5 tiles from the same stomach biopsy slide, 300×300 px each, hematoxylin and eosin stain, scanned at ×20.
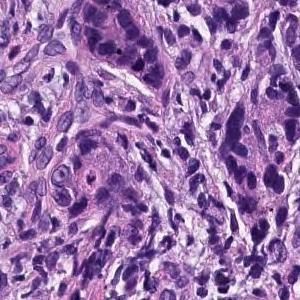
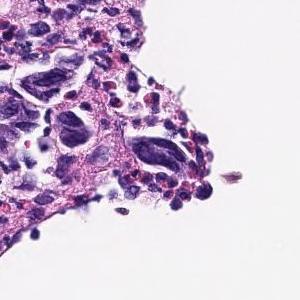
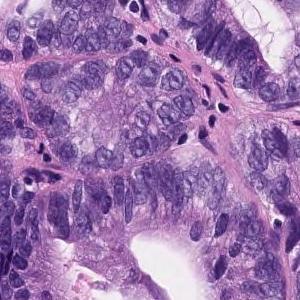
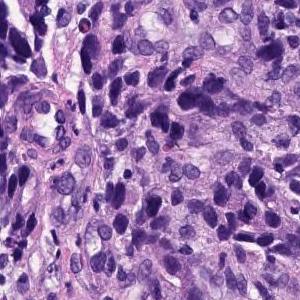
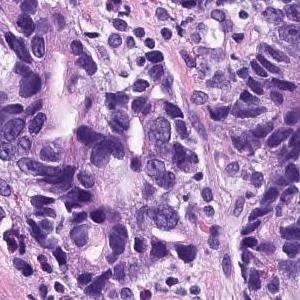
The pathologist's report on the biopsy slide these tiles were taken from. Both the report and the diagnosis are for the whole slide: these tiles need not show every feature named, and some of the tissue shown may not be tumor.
On the superficial epithelium, tumor tissue consisting of images showing invasive growth with small, irregular tubules partially fused is observed. moderately differentiated tubular adenocarcinoma
